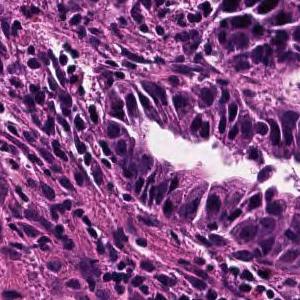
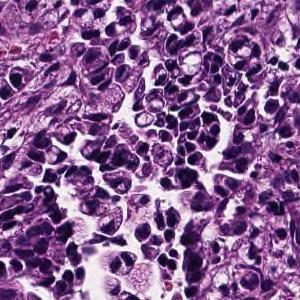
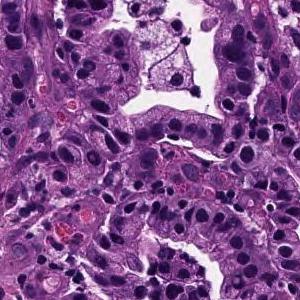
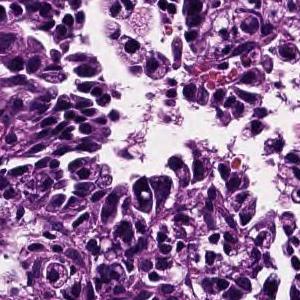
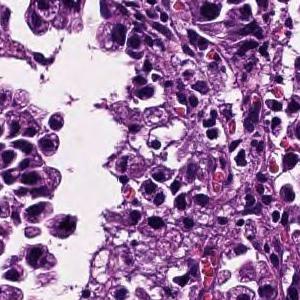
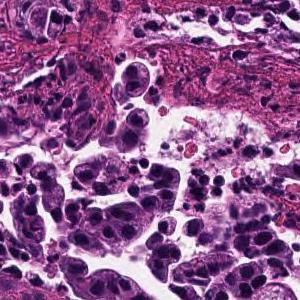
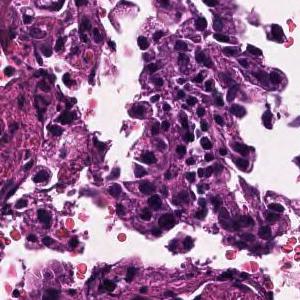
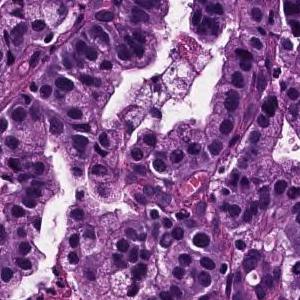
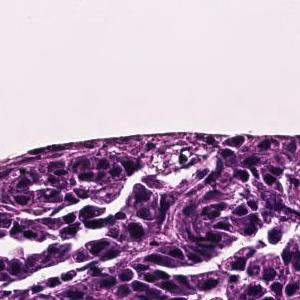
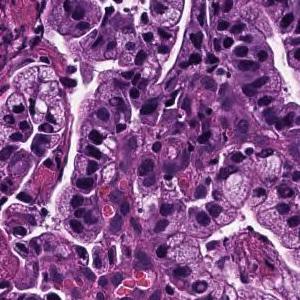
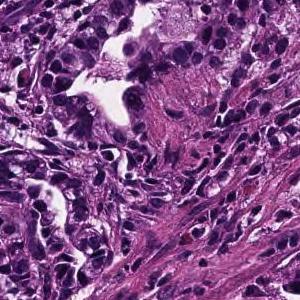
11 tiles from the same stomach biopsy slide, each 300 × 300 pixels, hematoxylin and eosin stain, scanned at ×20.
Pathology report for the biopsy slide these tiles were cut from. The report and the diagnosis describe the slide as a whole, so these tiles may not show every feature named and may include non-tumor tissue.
Tumor cells are large, highly columnar, large club-shaped nuclei, and are associated with chromatin aggregation. Papillary adenocarcinoma.
